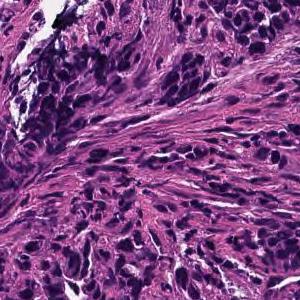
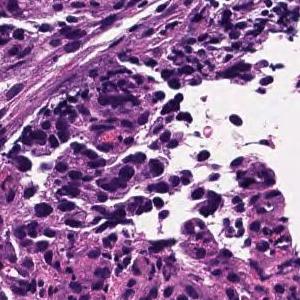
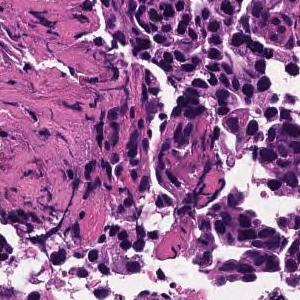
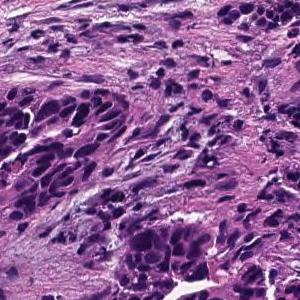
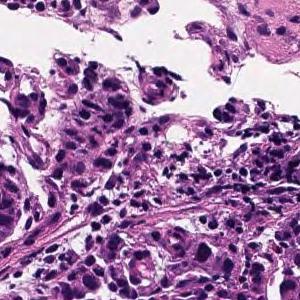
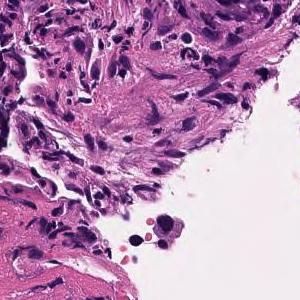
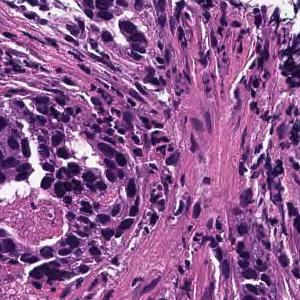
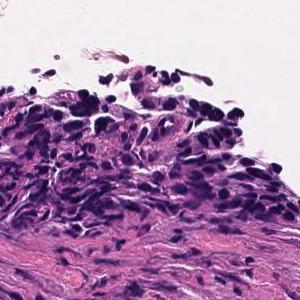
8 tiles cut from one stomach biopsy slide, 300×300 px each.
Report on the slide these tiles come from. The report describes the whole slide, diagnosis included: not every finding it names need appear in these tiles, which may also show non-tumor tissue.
In the superficial epithelium, tumor tissue that invades by forming medium-sized to small, irregular ducts is observed. moderately differentiated tubular adenocarcinoma.
